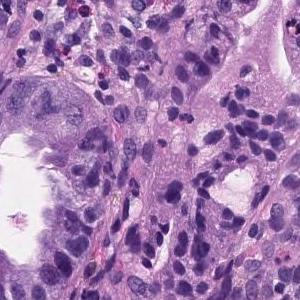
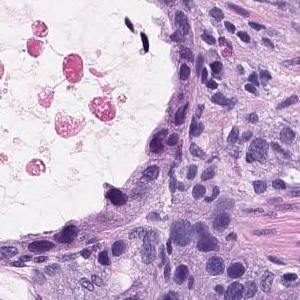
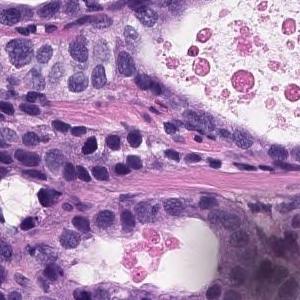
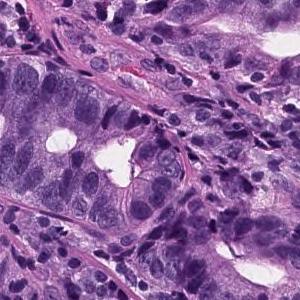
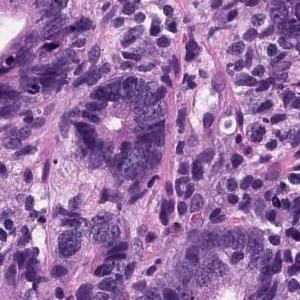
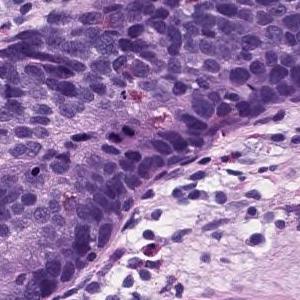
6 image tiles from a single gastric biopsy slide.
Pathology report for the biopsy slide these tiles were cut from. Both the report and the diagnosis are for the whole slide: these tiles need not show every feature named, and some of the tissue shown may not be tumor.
Tumor tissue consisting of medium-sized and irregular ducts is observed infiltrating in the superficial epithelium. Tumor cells are highly columnar, with nuclei aligned basolaterally and polarized. Well differentiated tubular adenocarcinoma.
